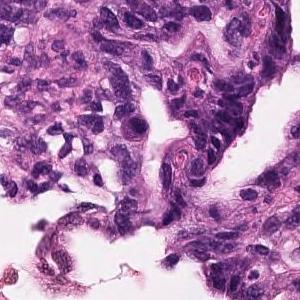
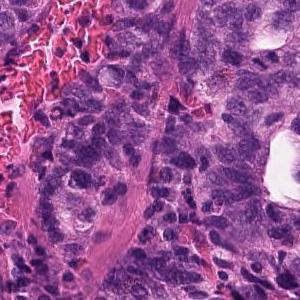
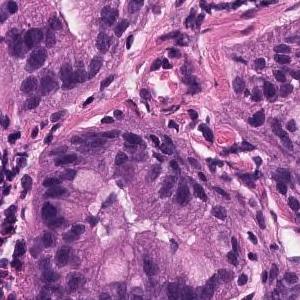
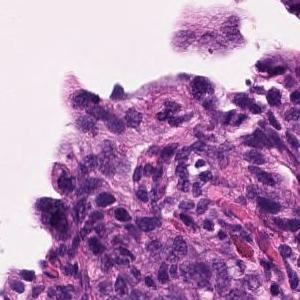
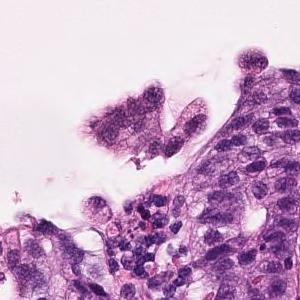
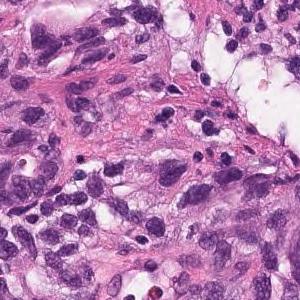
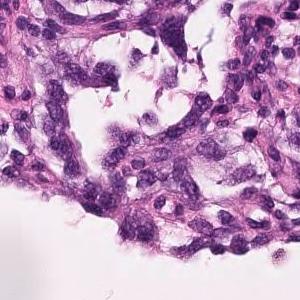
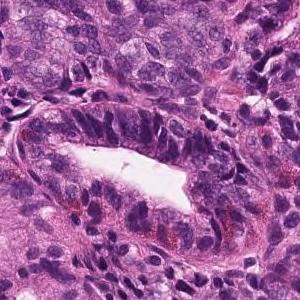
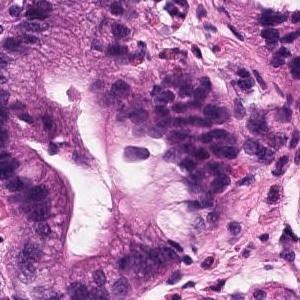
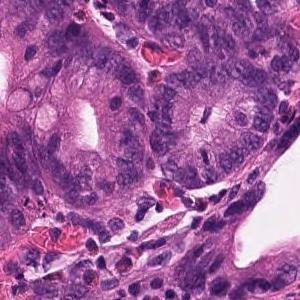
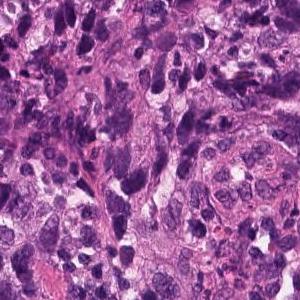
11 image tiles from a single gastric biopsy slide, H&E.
Diagnostic report for the slide these tiles come from. The report and the diagnosis cover the entire slide, so not every feature they name need be visible here, and some tissue shown may not be tumor.
In the superficial epithelium, tumor tissue that invades by forming medium-sized to small, irregular ducts is observed. Moderately differentiated adenocarcinoma.
Tumor subtype: moderately differentiated tubular adenocarcinoma.
